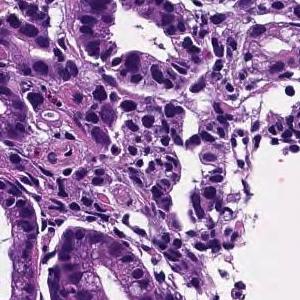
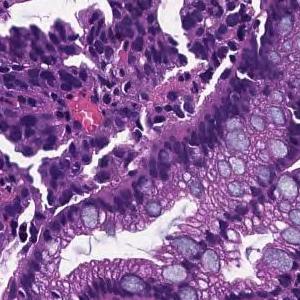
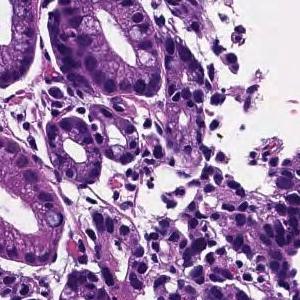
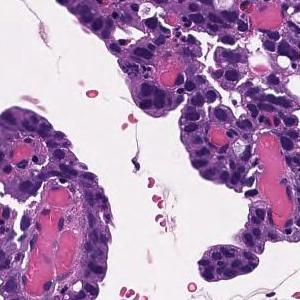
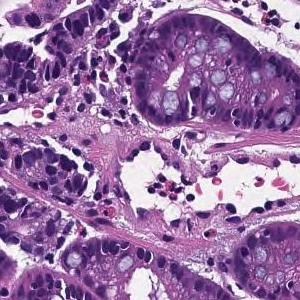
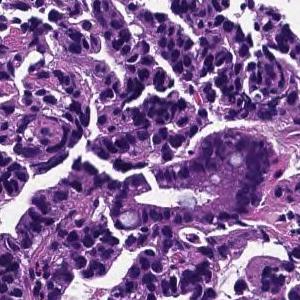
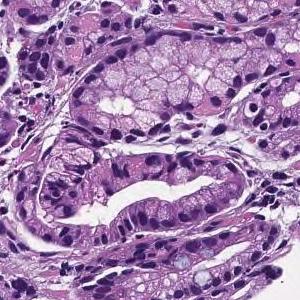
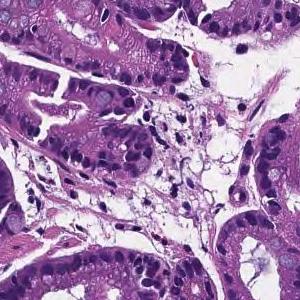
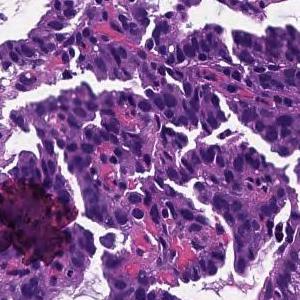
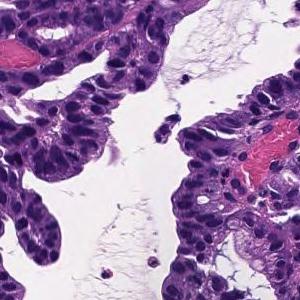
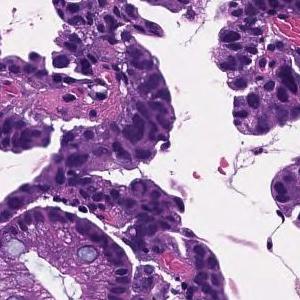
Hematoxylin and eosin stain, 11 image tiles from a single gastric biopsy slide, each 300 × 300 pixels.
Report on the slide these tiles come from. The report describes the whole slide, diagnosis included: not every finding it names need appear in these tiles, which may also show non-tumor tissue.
Tumor cells are large, highly columnar, large club-shaped nuclei, and are associated with chromatin aggregation. Papillary adenocarcinoma.
